11 tiles cut from one stomach biopsy slide; H&E.
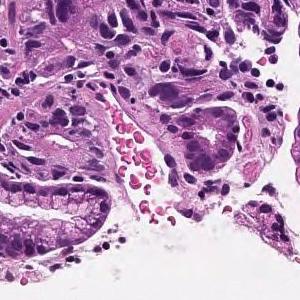
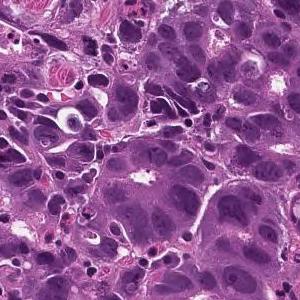
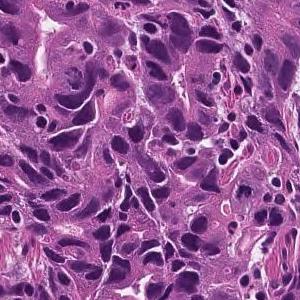
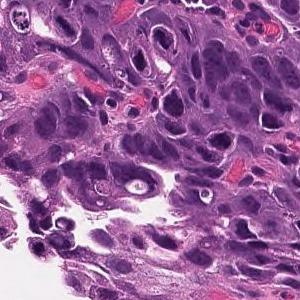
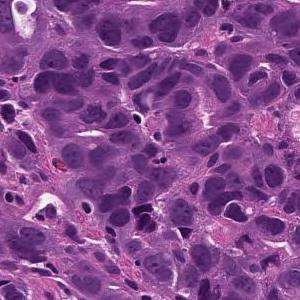
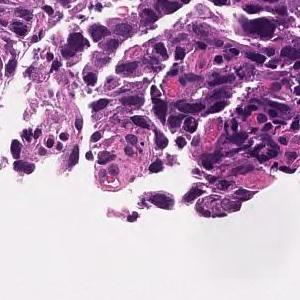
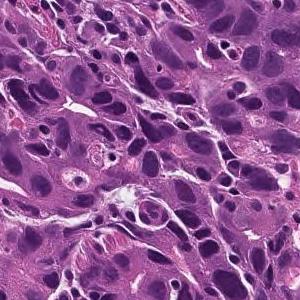
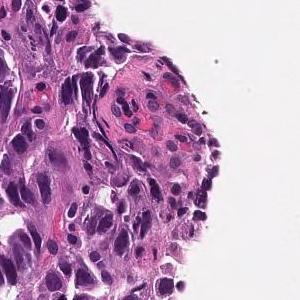
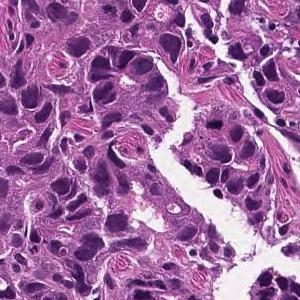
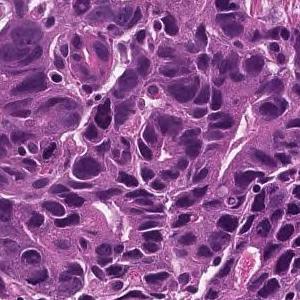
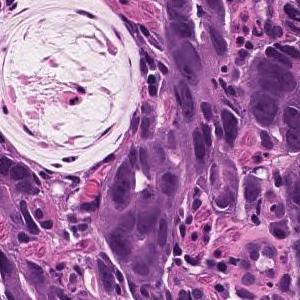
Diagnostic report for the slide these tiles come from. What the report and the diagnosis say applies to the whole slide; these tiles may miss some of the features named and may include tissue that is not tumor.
On the superficial epithelium, tumor tissue is found in which medium-sized irregular gland ducts fuse with each other and infiltrate. moderately differentiated tubular adenocarcinoma
